12 patches cut from one gastric biopsy slide, 300×300 px each, H&E stain, 20× magnification.
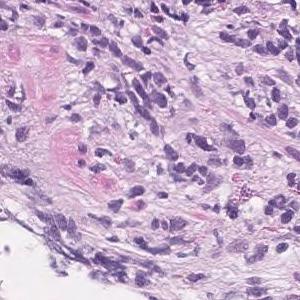
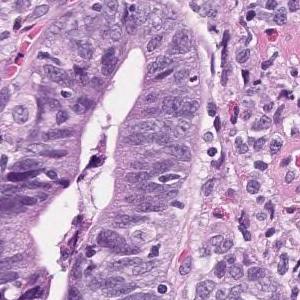
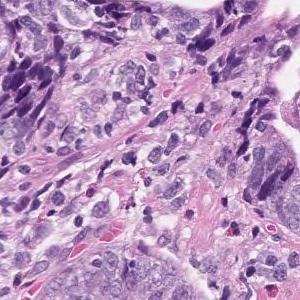
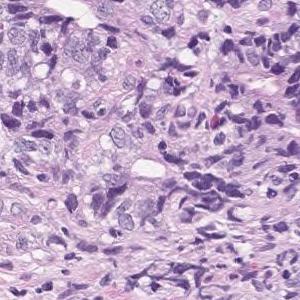
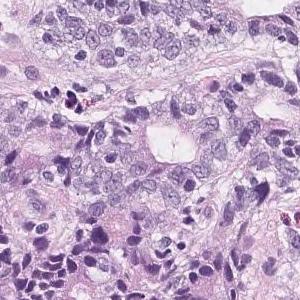
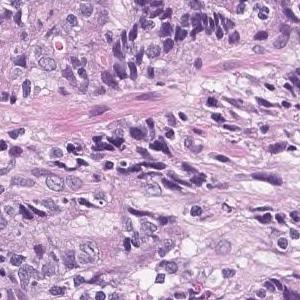
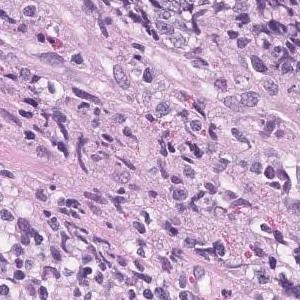
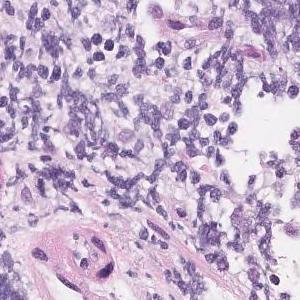
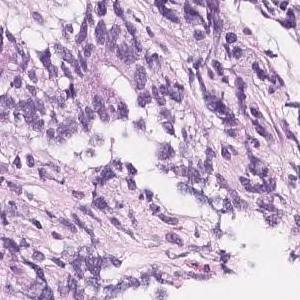
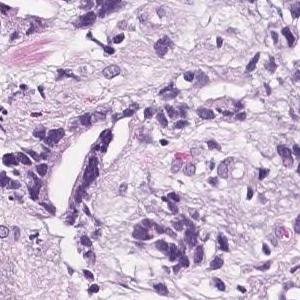
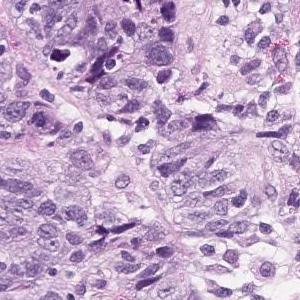
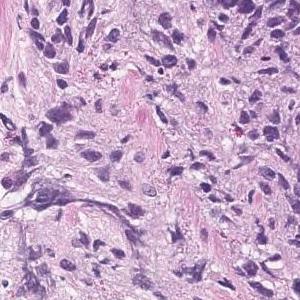
Pathology report for the biopsy slide these tiles were cut from. The findings and the diagnosis refer to the entire slide; these tiles show only part of it, possibly with non-tumor tissue, and may not show every feature named.
Highly columnar epithelium with disordered nuclear localization proliferates showing fusion ductal construction. moderately differentiated tubular adenocarcinoma
